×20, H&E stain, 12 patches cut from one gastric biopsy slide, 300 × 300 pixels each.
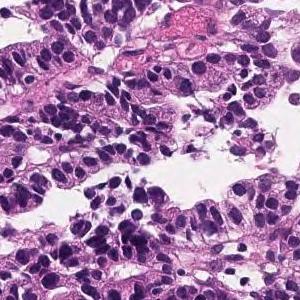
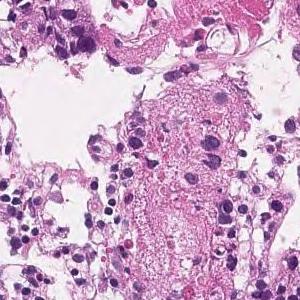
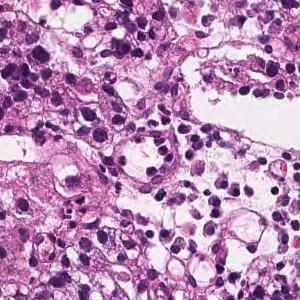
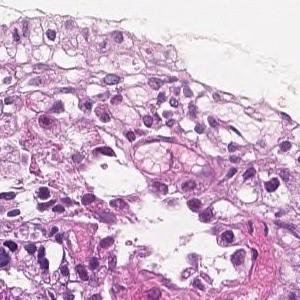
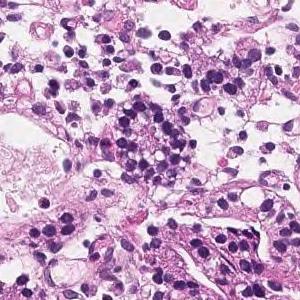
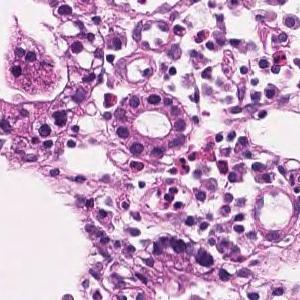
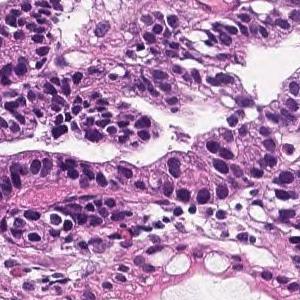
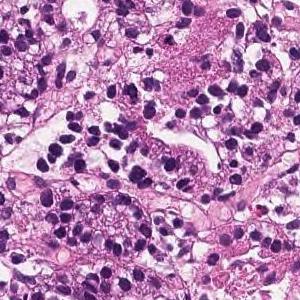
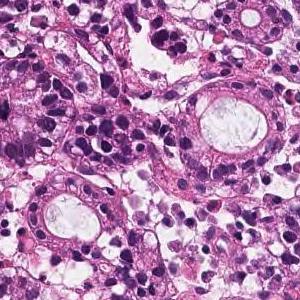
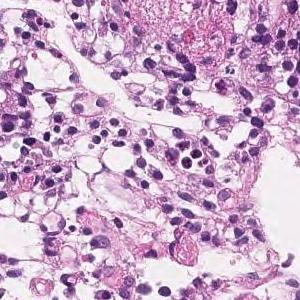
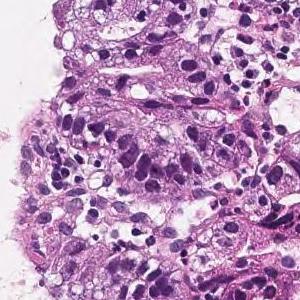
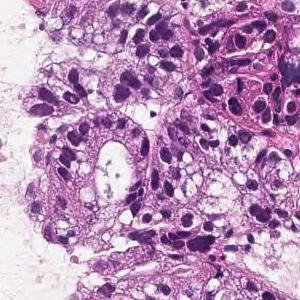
Diagnostic report for the slide these tiles come from. The report and the diagnosis cover the entire slide, so not every feature they name need be visible here, and some tissue shown may not be tumor.
In the superficial epithelium, tumor tissue that invades by forming medium-sized to small, irregular ducts is observed. moderately differentiated tubular adenocarcinoma.
